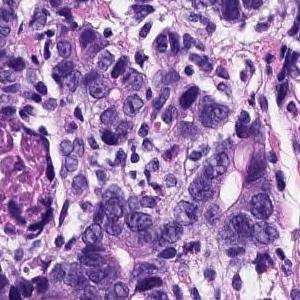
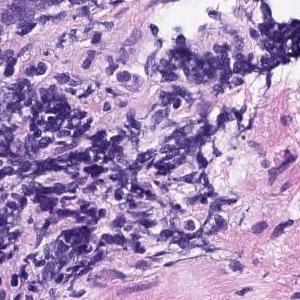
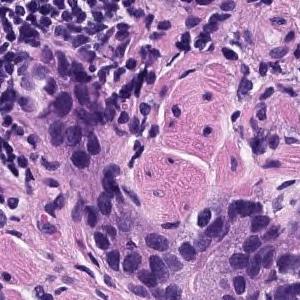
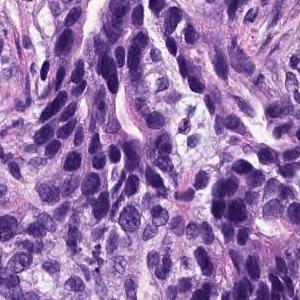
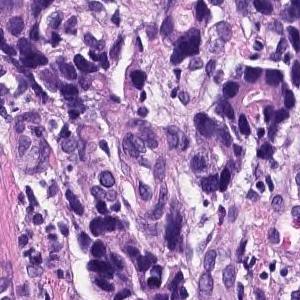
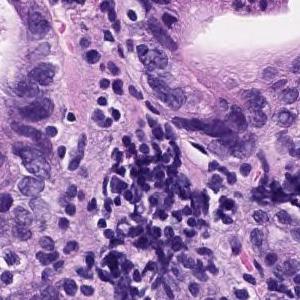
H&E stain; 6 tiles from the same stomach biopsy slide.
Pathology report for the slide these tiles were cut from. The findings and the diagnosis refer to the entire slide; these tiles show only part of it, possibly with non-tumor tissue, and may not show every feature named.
On the superficial epithelium, tumor tissue consisting of images showing invasive growth with small, irregular tubules partially fused is observed. moderately differentiated tubular adenocarcinoma
